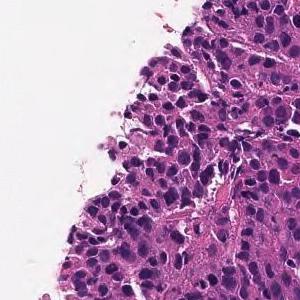
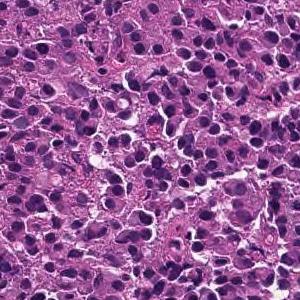
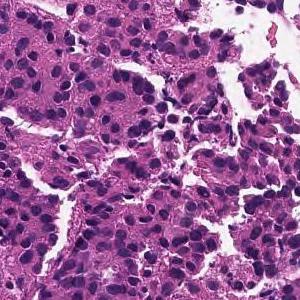
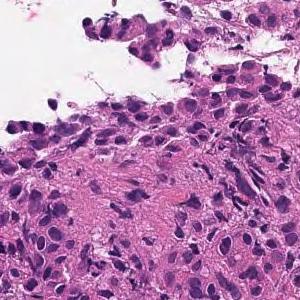
Scanned at ×20, 4 tiles cut from one stomach biopsy slide.
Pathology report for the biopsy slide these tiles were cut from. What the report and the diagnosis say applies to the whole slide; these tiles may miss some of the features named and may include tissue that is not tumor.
The superficial epithelium shows a large sheet-like shape, and some tumor tissue infiltrates with small irregular ducts. Poorly differentiated adenocarcinoma, solid-type
Classified as poorly differentiated adenocarcinoma, solid type. This name comes from the Japanese Classification of Gastric Carcinoma; the WHO 2019 classification calls it tubular adenocarcinoma, poorly differentiated.
